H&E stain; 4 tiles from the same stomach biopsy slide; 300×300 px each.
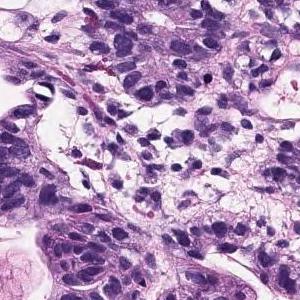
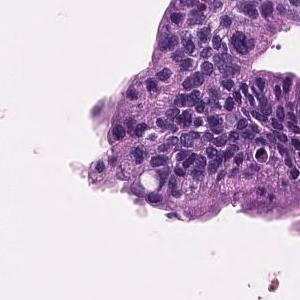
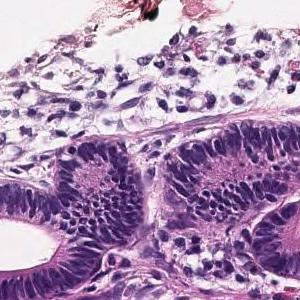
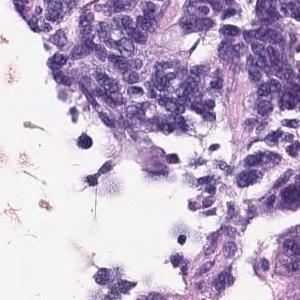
Diagnostic report for the slide these tiles come from. Both the report and the diagnosis are for the whole slide: these tiles need not show every feature named, and some of the tissue shown may not be tumor.
Tumor cells are large, highly columnar, large club-shaped nuclei, and are associated with chromatin aggregation. Papillary adenocarcinoma.
